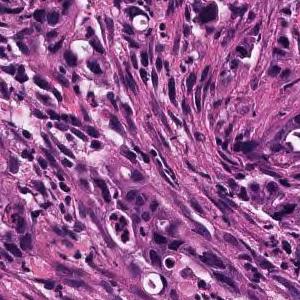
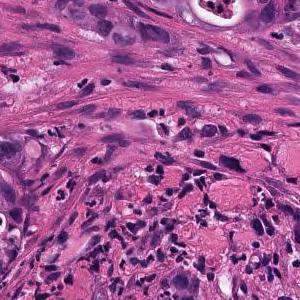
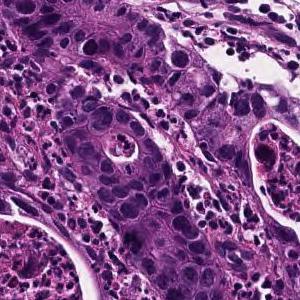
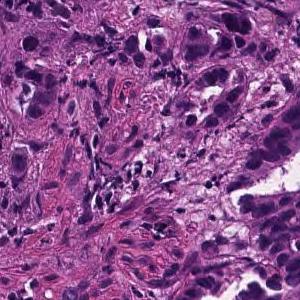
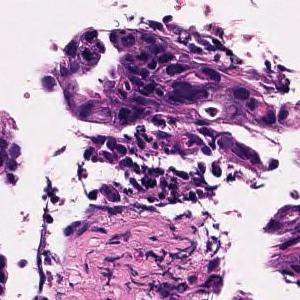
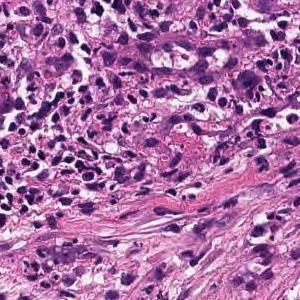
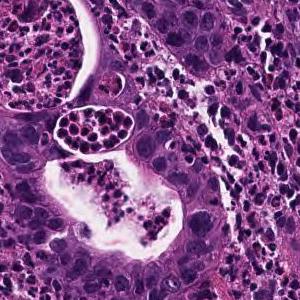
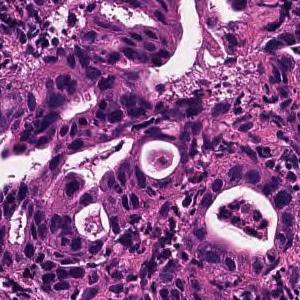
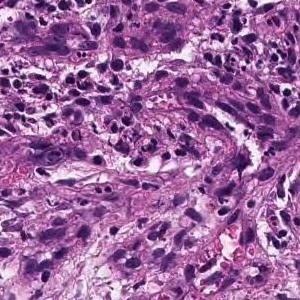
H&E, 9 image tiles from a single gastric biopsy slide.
Diagnostic report for the slide these tiles come from. The report and the diagnosis describe the slide as a whole, so these tiles may not show every feature named and may include non-tumor tissue.
In the superficial epithelium, medium-sized to small irregular glandular ducts are formed, and in some cases, the glandular ducts are fused or small cord-like infiltrating tumor tissue is observed. moderately differentiated tubular adenocarcinoma
